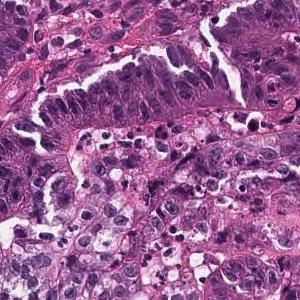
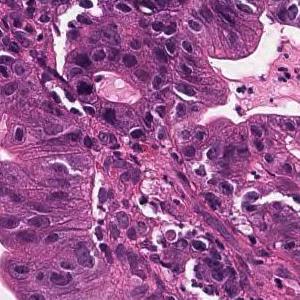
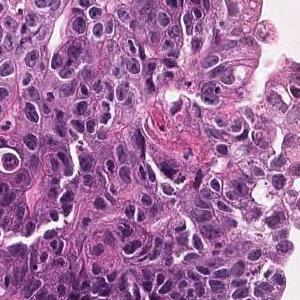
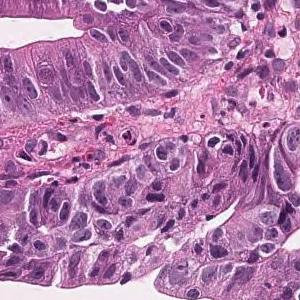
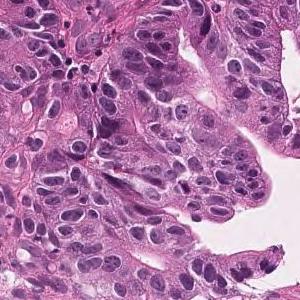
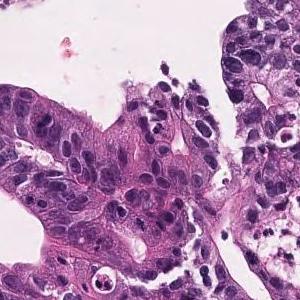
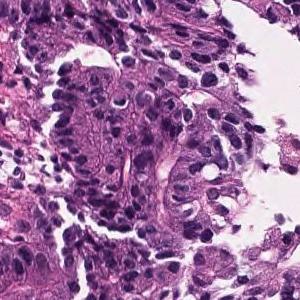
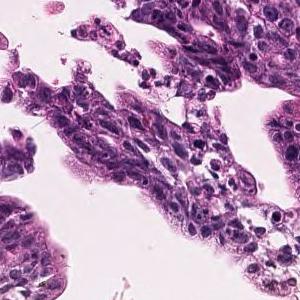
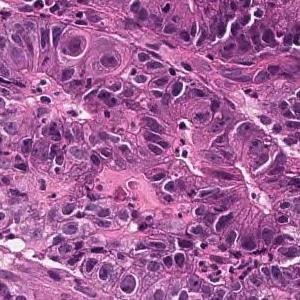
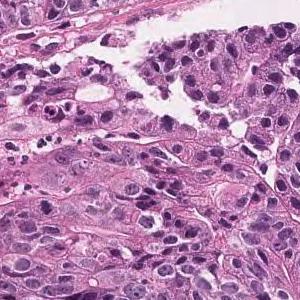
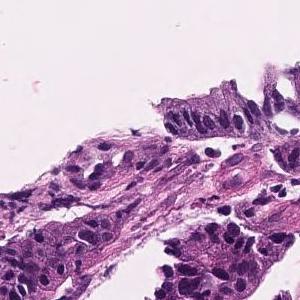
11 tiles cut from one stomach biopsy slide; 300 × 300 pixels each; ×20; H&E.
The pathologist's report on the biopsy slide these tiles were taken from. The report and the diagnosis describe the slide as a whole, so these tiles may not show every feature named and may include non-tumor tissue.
In the superficial epithelium, tumor tissue that invades by forming medium-sized to small, irregular ducts is observed. Well differentiated tubular adenocarcinoma.
